Hematoxylin and eosin stain · 4 patches cut from one gastric biopsy slide.
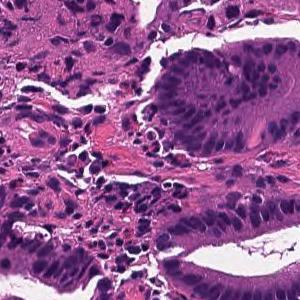
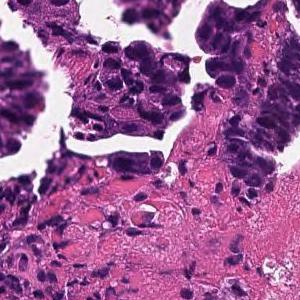
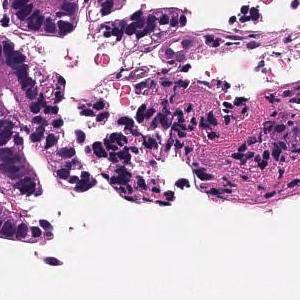
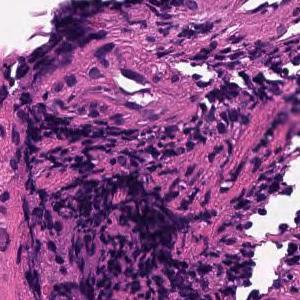
Pathology report for the biopsy slide these tiles were cut from. What the report and the diagnosis say applies to the whole slide; these tiles may miss some of the features named and may include tissue that is not tumor.
Tumor cells are large, highly columnar, large club-shaped nuclei, and are associated with chromatin aggregation. Papillary adenocarcinoma.
